H&E · scanned at ×20 · 5 patches cut from one gastric biopsy slide · 300×300 px each.
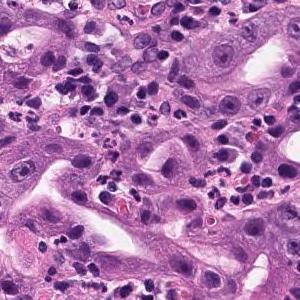
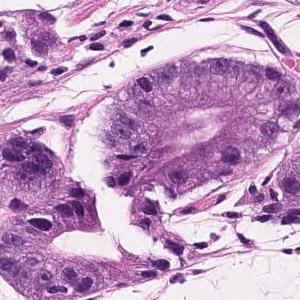
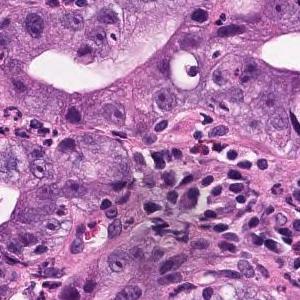
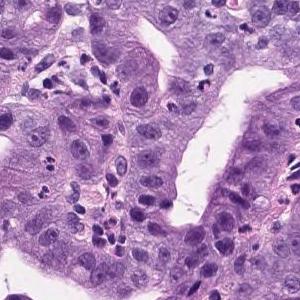
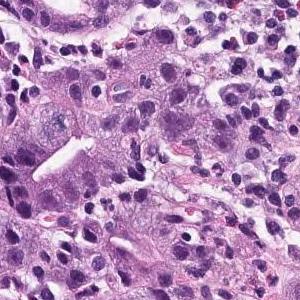
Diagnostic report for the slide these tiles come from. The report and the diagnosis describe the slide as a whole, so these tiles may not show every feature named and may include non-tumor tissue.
In the superficial epithelium, tumor tissue that invades by forming medium-sized to small, irregular ducts is observed. Well to moderately differentiated adenocarcinoma (well differentiated tubular adenocarcinoma, moderately differentiated tubular adenocarcinoma).
Tumor subtype: well to moderately differentiated tubular adenocarcinoma.
